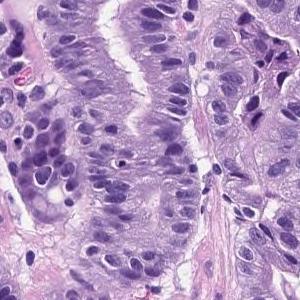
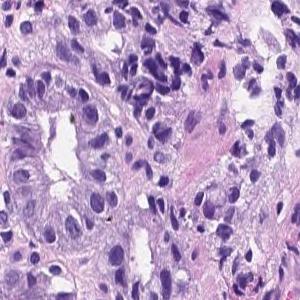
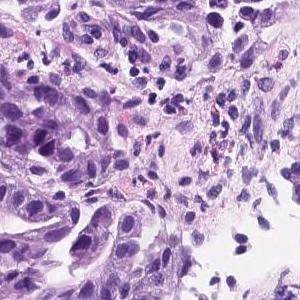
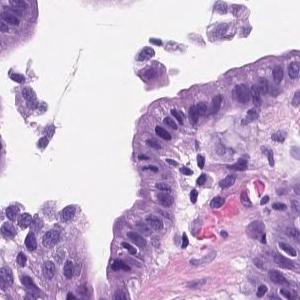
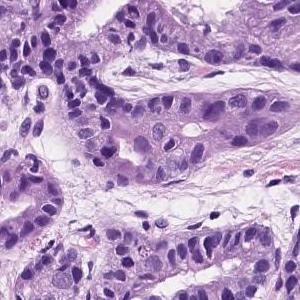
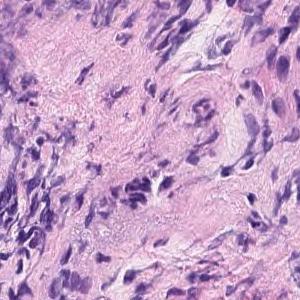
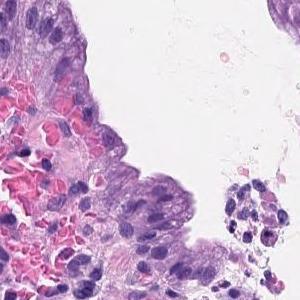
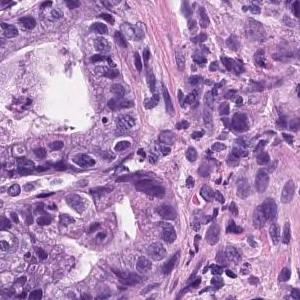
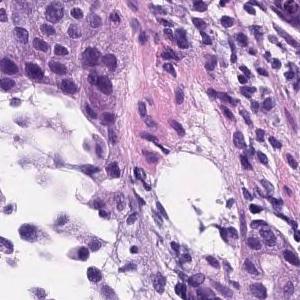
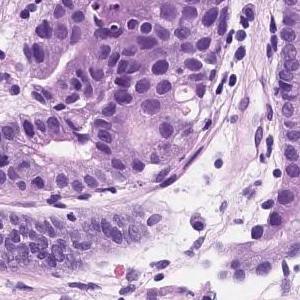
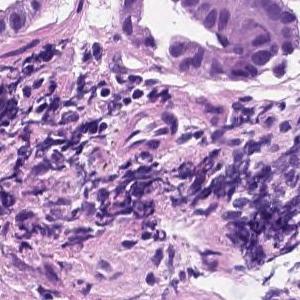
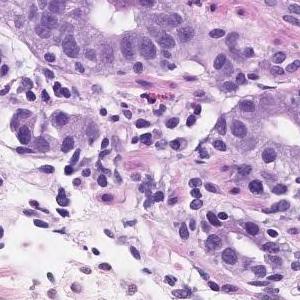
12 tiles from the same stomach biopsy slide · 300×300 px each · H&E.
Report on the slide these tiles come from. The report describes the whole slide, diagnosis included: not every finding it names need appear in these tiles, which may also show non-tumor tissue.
Tumor tissue consisting of medium-sized and irregular ducts is observed infiltrating in the superficial epithelium. Tumor cells are highly columnar, with nuclei aligned basolaterally and polarized. Well differentiated tubular adenocarcinoma.
